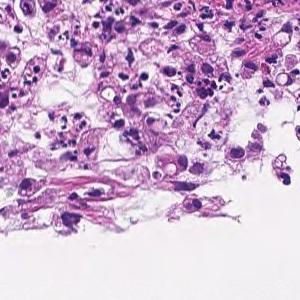
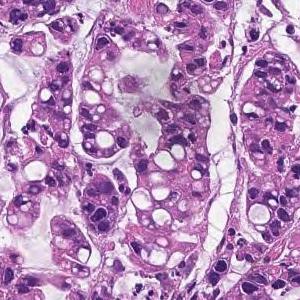
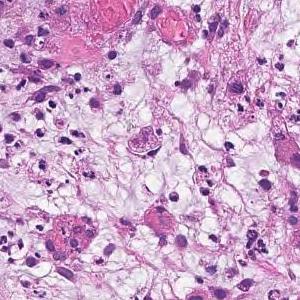
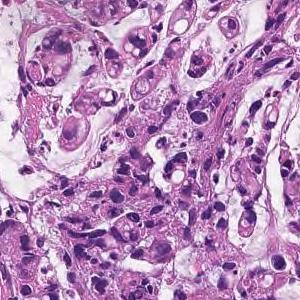
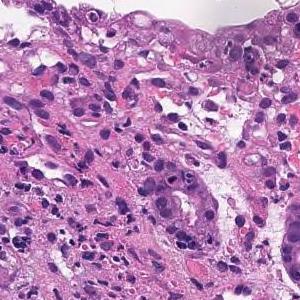
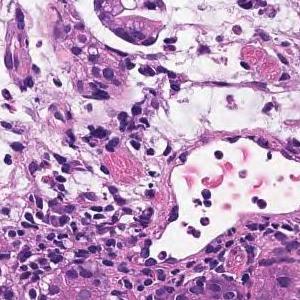
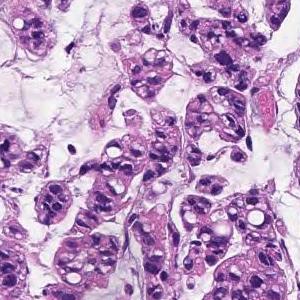
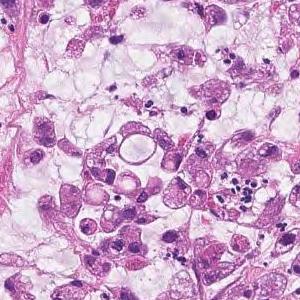
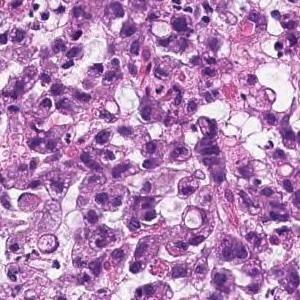
H&E stain · scanned at ×20 · 9 image tiles from a single gastric biopsy slide · 300×300 px each.
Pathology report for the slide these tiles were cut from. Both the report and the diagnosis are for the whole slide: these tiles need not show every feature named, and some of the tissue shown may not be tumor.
Tumor tissue consisting of cord-like or small, irregular glandular ducts fused and infiltrated is observed in the superficial epithelium. Poorly differentiated adenocarcinoma, non-solid type
The non-solid type named here is a Japanese Classification of Gastric Carcinoma category.
